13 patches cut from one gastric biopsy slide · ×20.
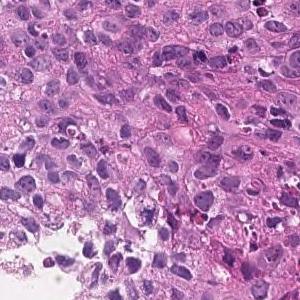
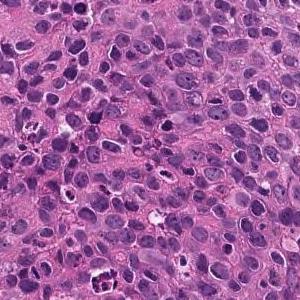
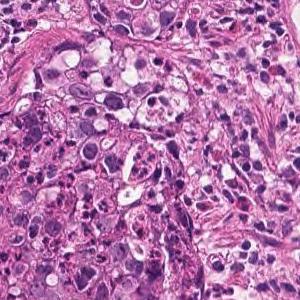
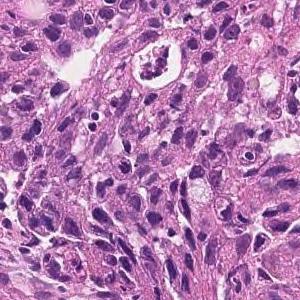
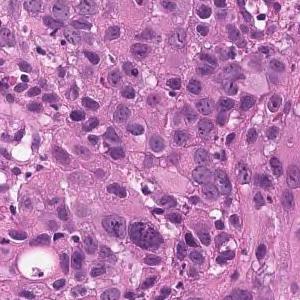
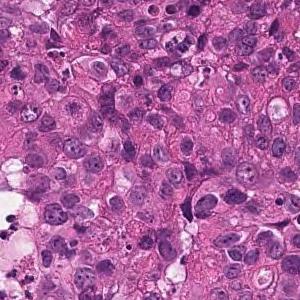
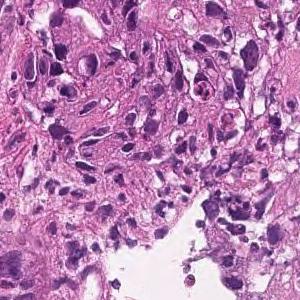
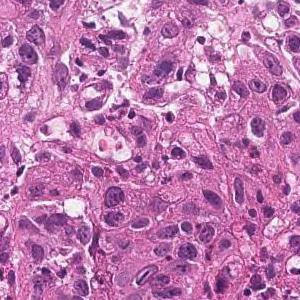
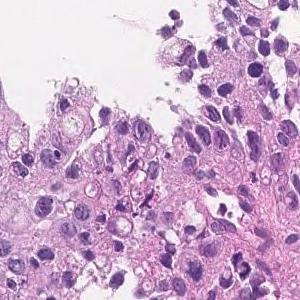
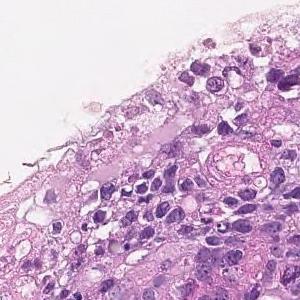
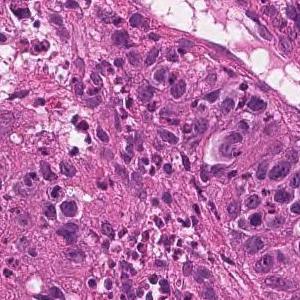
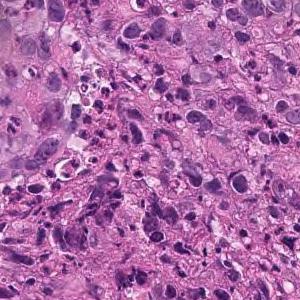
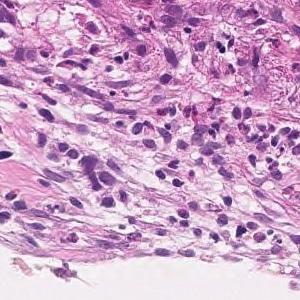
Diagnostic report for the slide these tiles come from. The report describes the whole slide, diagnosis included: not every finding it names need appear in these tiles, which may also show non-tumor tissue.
The superficial epithelium shows a large sheet-like shape, and some tumor tissue infiltrates with small irregular ducts. Poorly differentiated adenocarcinoma, solid-type
Tumor subtype: poorly differentiated adenocarcinoma, solid type. This name comes from the Japanese Classification of Gastric Carcinoma; the WHO 2019 classification calls it tubular adenocarcinoma, poorly differentiated.
